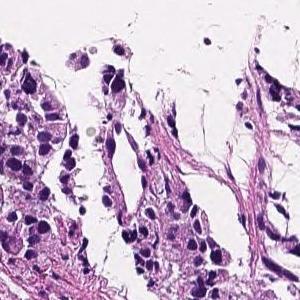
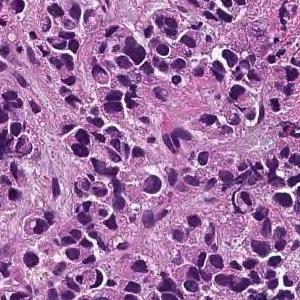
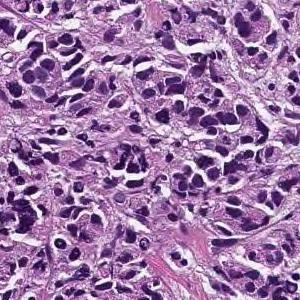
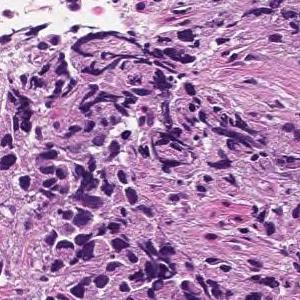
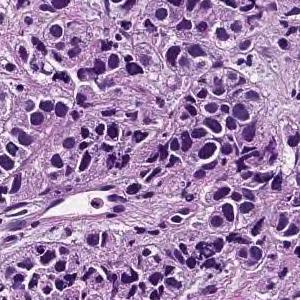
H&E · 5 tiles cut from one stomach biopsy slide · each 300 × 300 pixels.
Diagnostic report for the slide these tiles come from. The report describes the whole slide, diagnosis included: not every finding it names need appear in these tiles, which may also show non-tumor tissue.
The lamina propria shows small cord-like tumor tissue that infiltrates with fibrosis and marked chronic inflammatory cell infiltration. Poorly differentiated adenocarcinoma, non-solid type
"Non-solid type" is a category of the Japanese Classification of Gastric Carcinoma.
